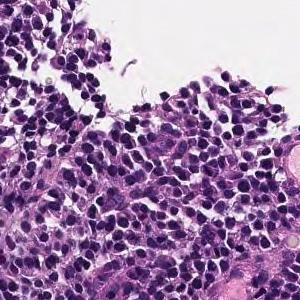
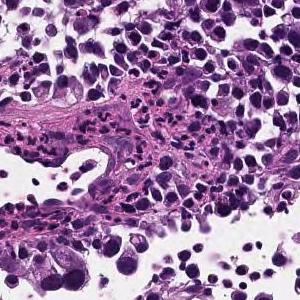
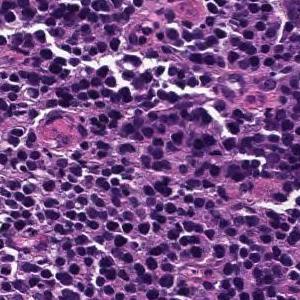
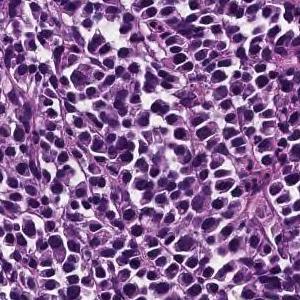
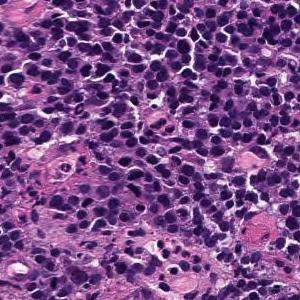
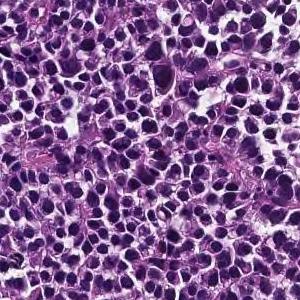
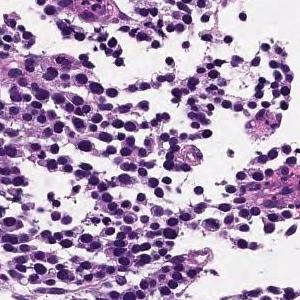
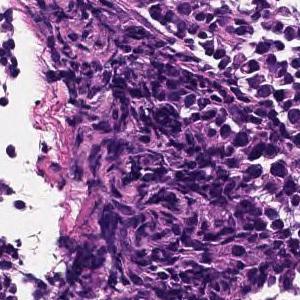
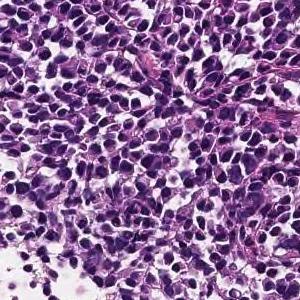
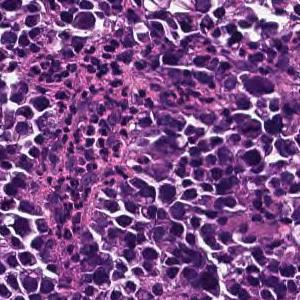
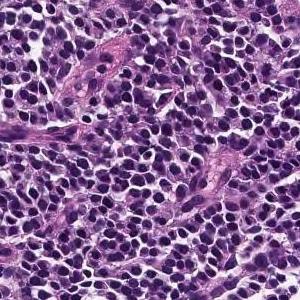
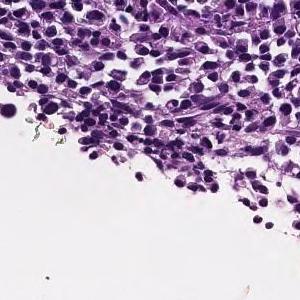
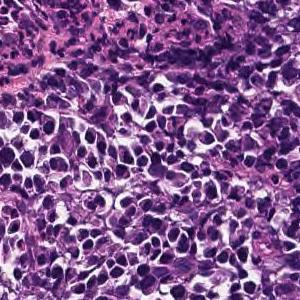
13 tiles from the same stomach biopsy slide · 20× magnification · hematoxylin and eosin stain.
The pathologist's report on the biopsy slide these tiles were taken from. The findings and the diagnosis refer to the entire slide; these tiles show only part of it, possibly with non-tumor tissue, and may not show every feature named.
Large sheet-like or diffusely infiltrating tumor tissue is found in the superficial epithelium. Poorly differentiated adenocarcinoma, solid-type
Histologic type: Poorly differentiated adenocarcinoma, solid type. This name comes from the Japanese Classification of Gastric Carcinoma; the WHO 2019 classification calls it tubular adenocarcinoma, poorly differentiated.
